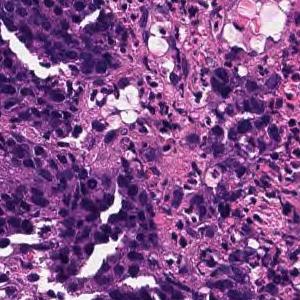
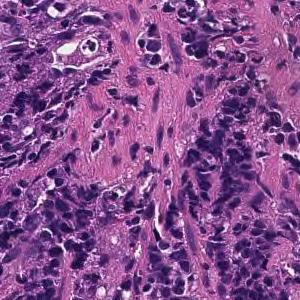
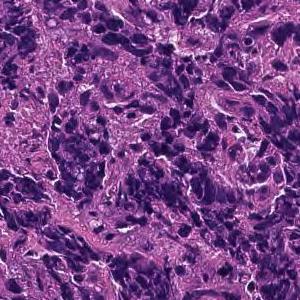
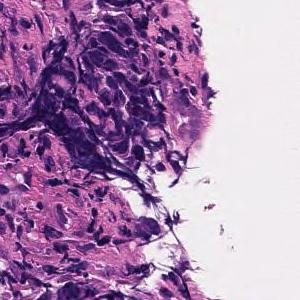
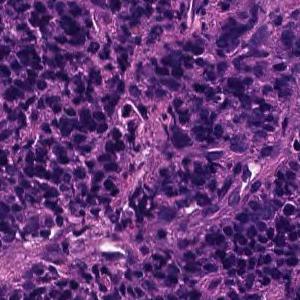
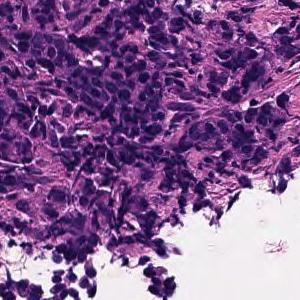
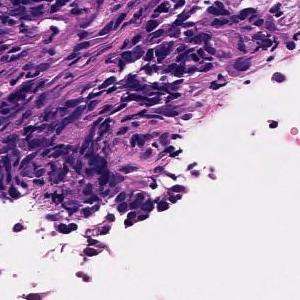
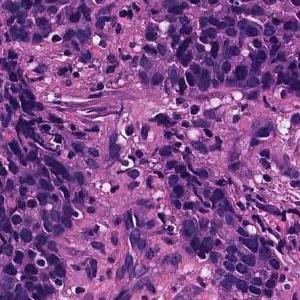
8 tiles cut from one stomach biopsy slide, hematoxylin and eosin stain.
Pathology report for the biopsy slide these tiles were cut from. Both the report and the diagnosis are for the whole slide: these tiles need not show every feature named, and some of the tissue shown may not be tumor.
Tumor tissue consisting of cord-like or small, irregular glandular ducts fused and infiltrated is observed in the superficial epithelium. Poorly differentiated adenocarcinoma, non-solid type
"Non-solid type" is a category of the Japanese Classification of Gastric Carcinoma.
